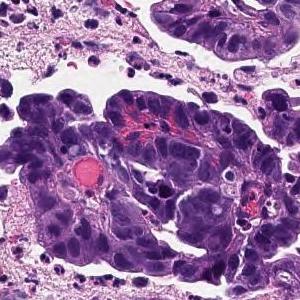
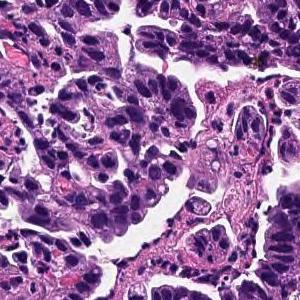
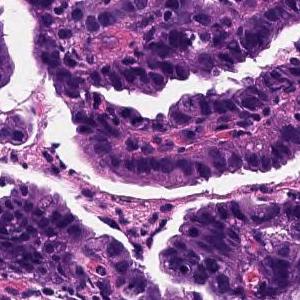
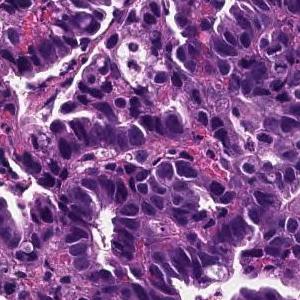
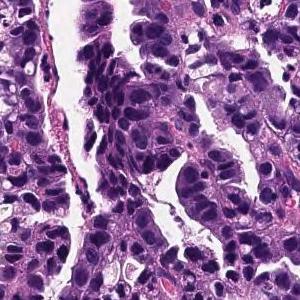
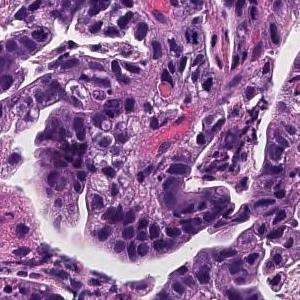
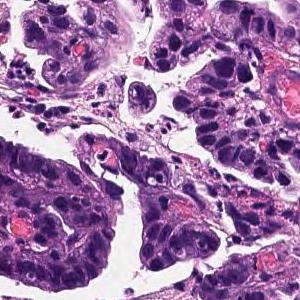
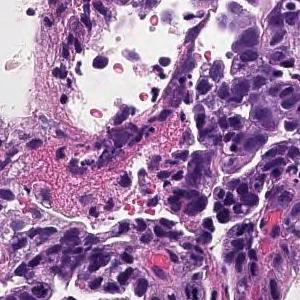
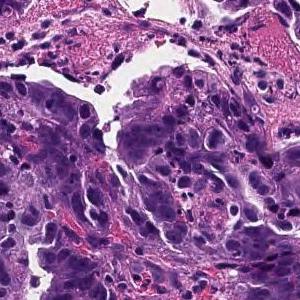
H&E stain, 9 tiles cut from one stomach biopsy slide, each 300 × 300 pixels.
The pathologist's report on the biopsy slide these tiles were taken from. What the report and the diagnosis say applies to the whole slide; these tiles may miss some of the features named and may include tissue that is not tumor.
Infiltrating tumor tissue is observed in the superficial epithelium, showing large papillary structures or large and small ducts. Papillary adenocarcinoma
